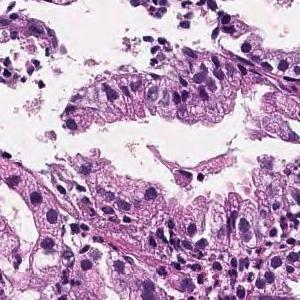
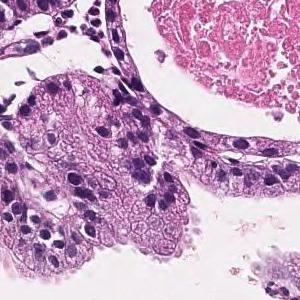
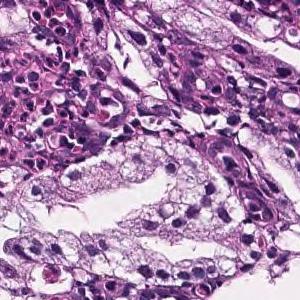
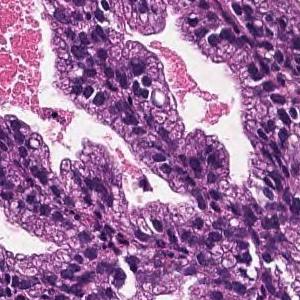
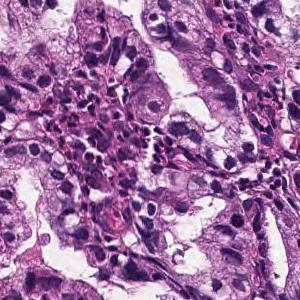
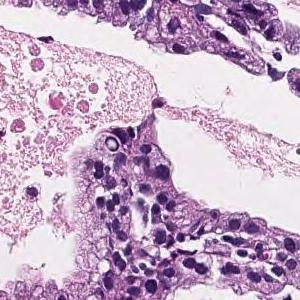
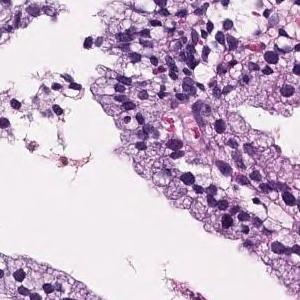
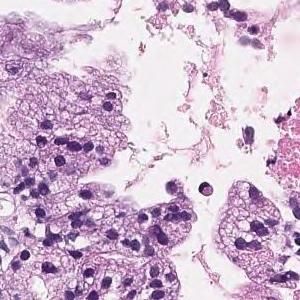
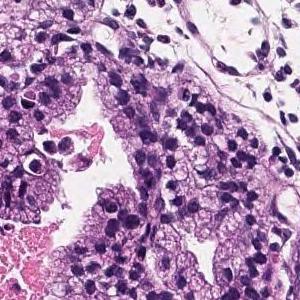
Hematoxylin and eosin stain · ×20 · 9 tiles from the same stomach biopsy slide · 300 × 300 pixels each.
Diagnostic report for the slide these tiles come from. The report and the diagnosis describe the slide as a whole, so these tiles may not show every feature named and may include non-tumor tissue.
In the superficial epithelium, tumor tissue that infiltrates by forming medium-sized papillary or small irregular ducts is observed. Papillary adenocarcinoma
